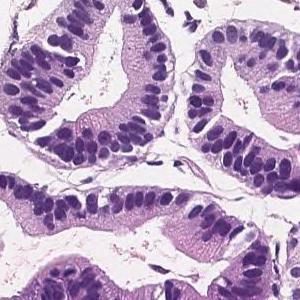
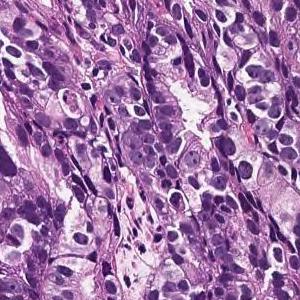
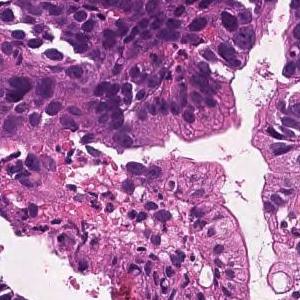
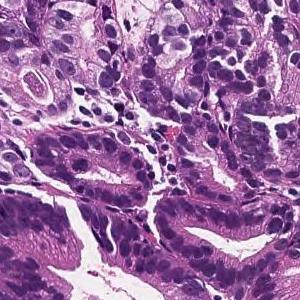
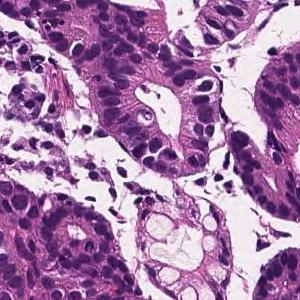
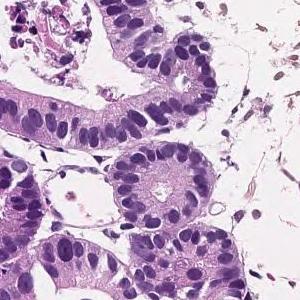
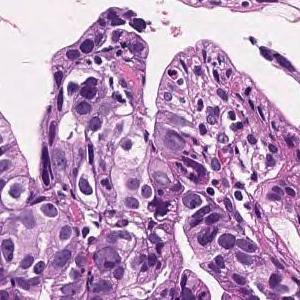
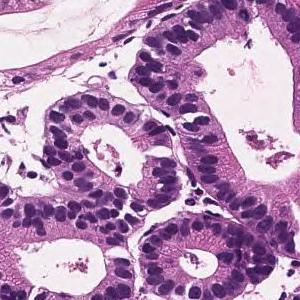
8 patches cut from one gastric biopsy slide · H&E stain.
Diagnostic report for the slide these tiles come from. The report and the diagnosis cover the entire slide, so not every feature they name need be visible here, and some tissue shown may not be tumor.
In the superficial epithelium, tumor tissue that invades by forming medium-sized to small, irregular ducts is observed. Well differentiated tubular adenocarcinoma.
